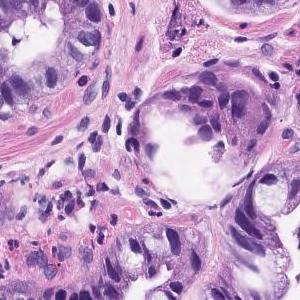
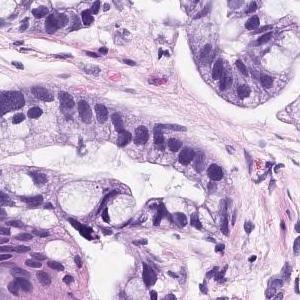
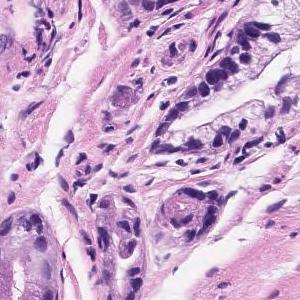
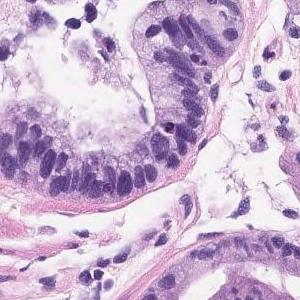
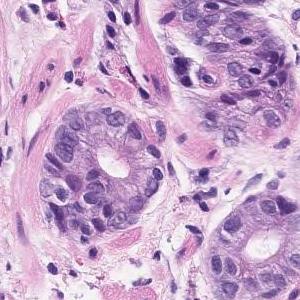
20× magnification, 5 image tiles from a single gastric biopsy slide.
Report on the slide these tiles come from. The report and the diagnosis describe the slide as a whole, so these tiles may not show every feature named and may include non-tumor tissue.
The superficial tumors shows large papillary structures or large and small ducts and infiltrates. Papillary adenocarcinoma.
